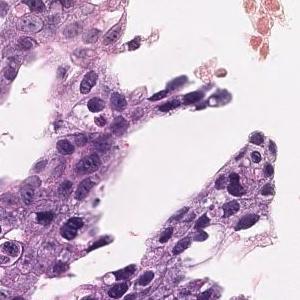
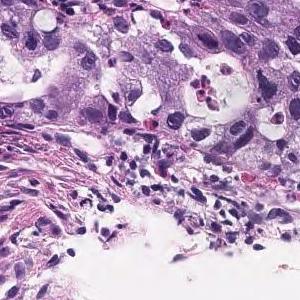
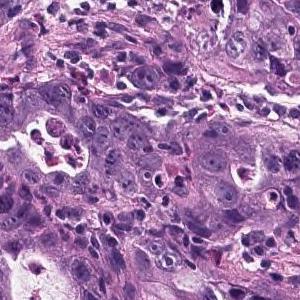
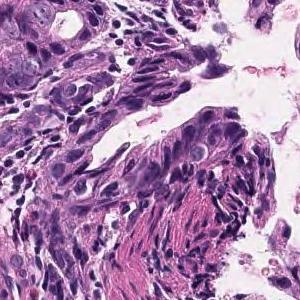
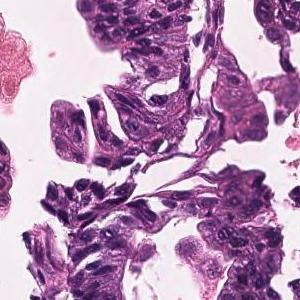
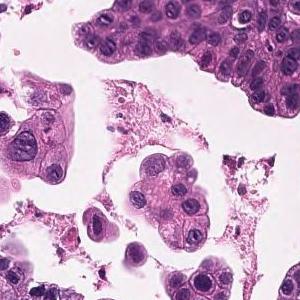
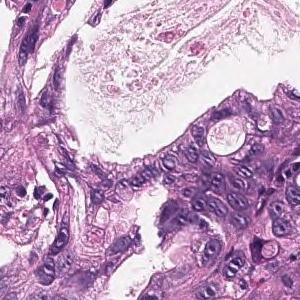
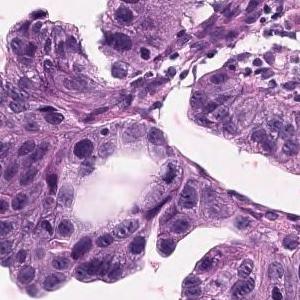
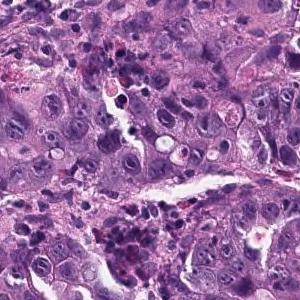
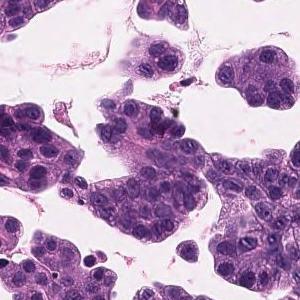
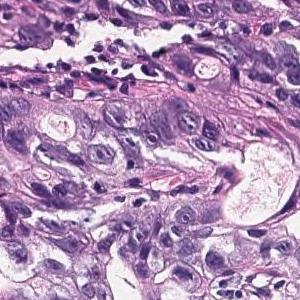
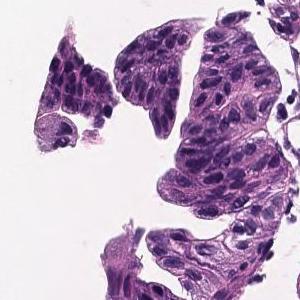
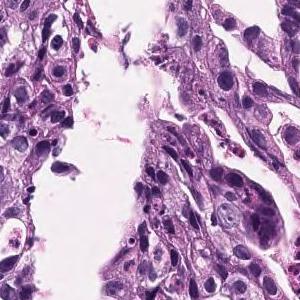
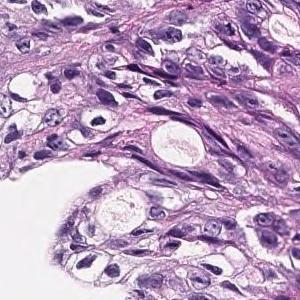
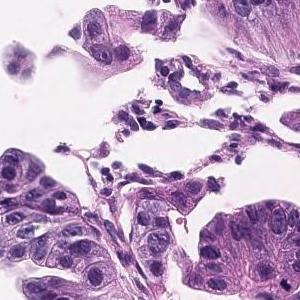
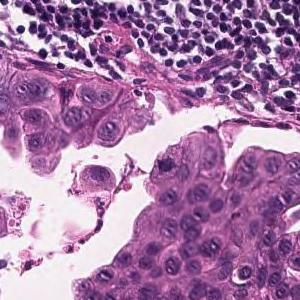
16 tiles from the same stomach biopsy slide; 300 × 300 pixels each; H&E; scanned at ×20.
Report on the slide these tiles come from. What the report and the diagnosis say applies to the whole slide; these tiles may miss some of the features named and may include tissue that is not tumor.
Tumor cells are large, highly columnar, large club-shaped nuclei, and are associated with chromatin aggregation. Papillary adenocarcinoma.
